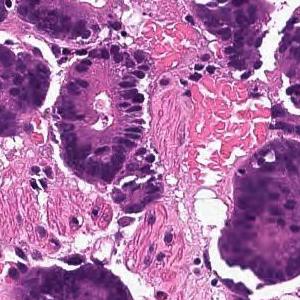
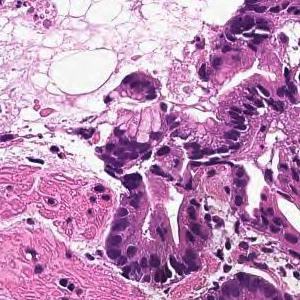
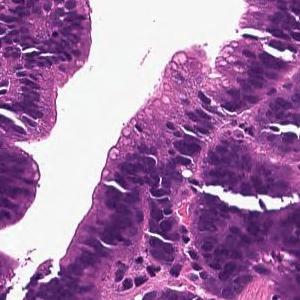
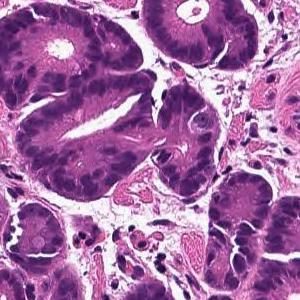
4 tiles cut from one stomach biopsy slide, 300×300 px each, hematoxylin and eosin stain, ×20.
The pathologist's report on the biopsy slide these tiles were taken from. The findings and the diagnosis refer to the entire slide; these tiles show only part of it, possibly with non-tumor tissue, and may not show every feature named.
From the superficial epithelium to the muscularis mucosae, tumor tissue consisting of medium-sized and irregular glandular ducts infiltrating is observed. Well differentiated tubular adenocarcinoma
